13 patches cut from one gastric biopsy slide, 300×300 px each.
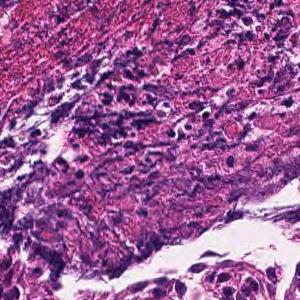
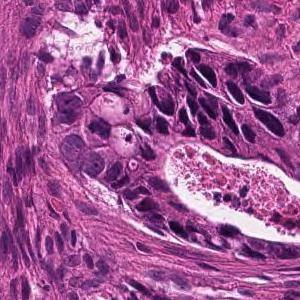
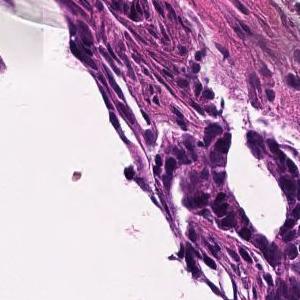
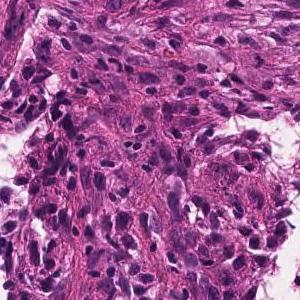
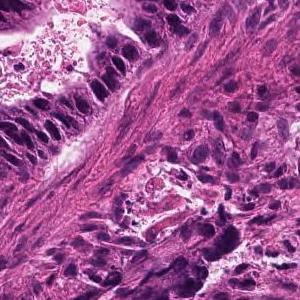
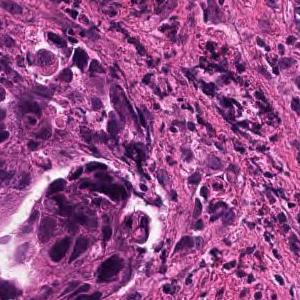
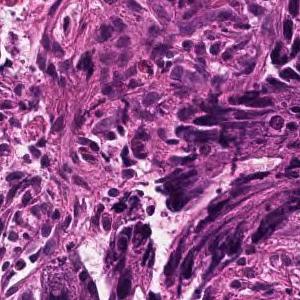
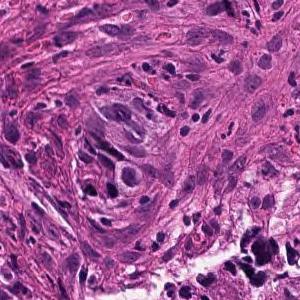
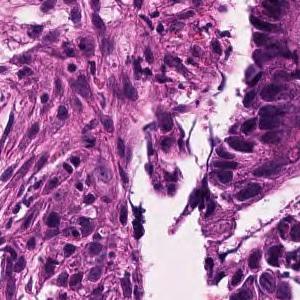
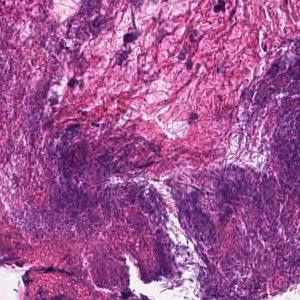
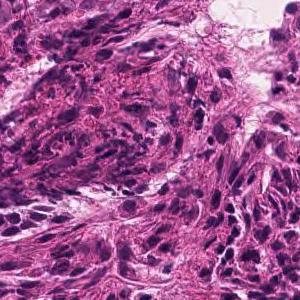
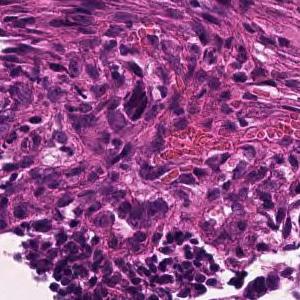
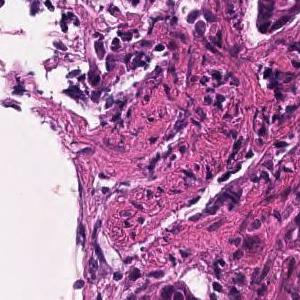
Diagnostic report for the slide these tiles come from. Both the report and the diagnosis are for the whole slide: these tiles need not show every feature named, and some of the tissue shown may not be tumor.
In the superficial epithelium, tumor tissue that invades by forming medium-sized to small, irregular ducts is observed. moderately differentiated tubular adenocarcinoma.
